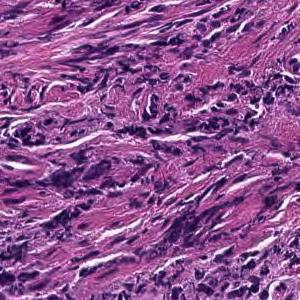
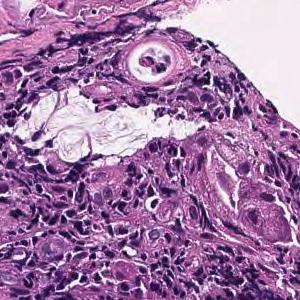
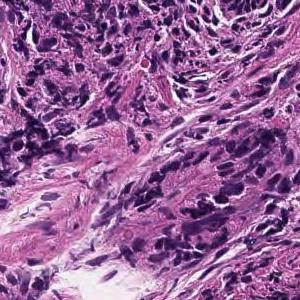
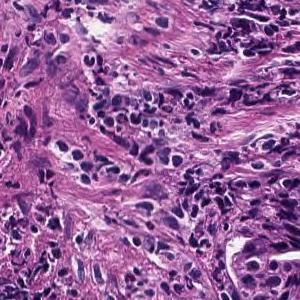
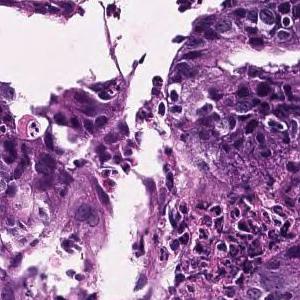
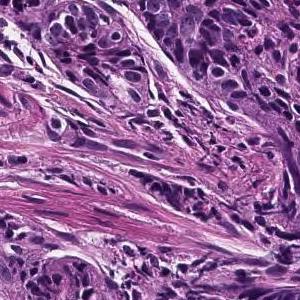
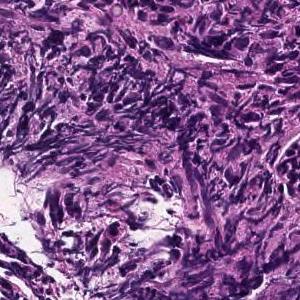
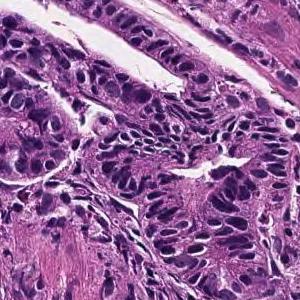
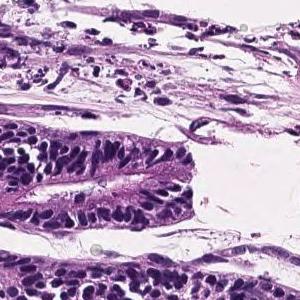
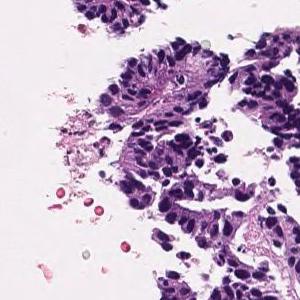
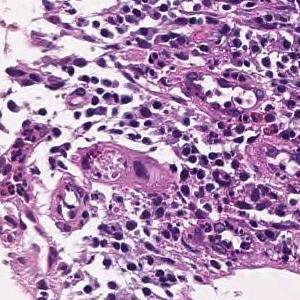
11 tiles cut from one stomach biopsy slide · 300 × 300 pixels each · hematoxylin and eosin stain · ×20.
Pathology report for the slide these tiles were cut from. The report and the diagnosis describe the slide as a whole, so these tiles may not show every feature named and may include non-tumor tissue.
On the superficial epithelium, tumor tissue consisting of large, irregular glandular ducts partially fused and infiltrated is observed. Well to moderately differentiated tubular adenocarcinoma (well differentiated tubular adenocarcinoma, moderately differentiated tubular adenocarcinoma)
Tumor subtype: well to moderately differentiated tubular adenocarcinoma.
